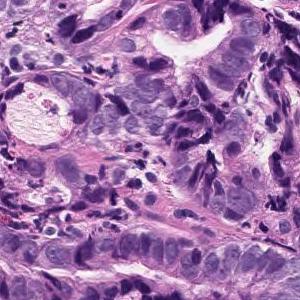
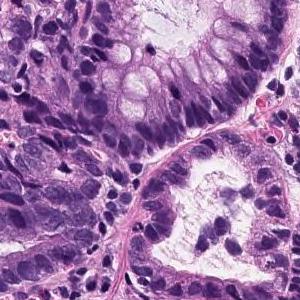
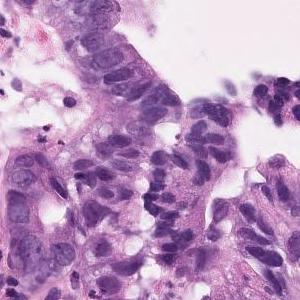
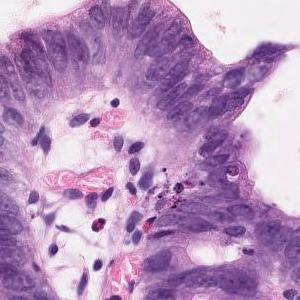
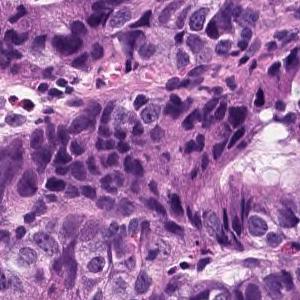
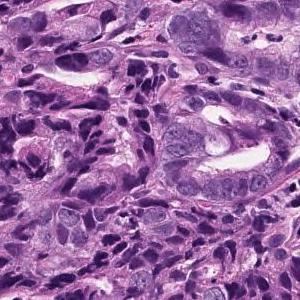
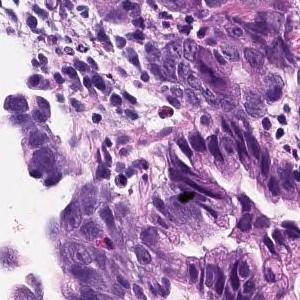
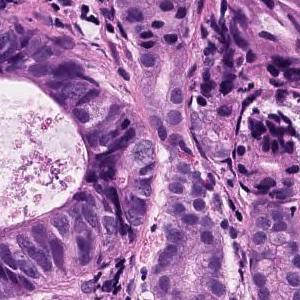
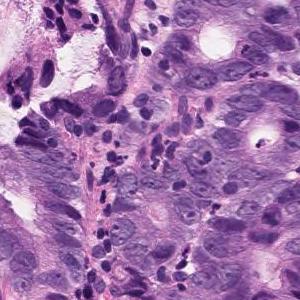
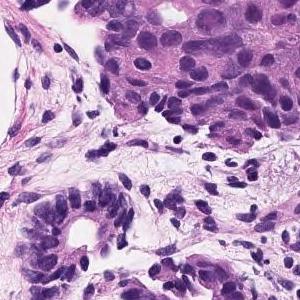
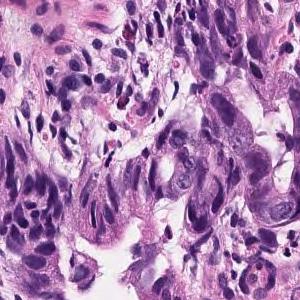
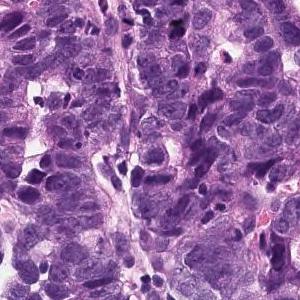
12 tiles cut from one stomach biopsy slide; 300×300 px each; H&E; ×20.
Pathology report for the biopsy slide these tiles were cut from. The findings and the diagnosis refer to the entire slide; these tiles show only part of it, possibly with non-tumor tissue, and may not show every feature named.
The swollen atypical epithelium of the nucleus forms an irregular ductal structure and proliferates. moderately differentiated tubular adenocarcinoma
